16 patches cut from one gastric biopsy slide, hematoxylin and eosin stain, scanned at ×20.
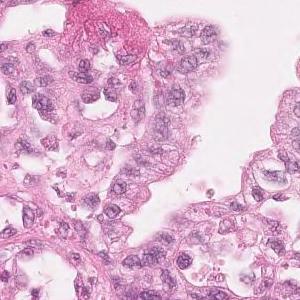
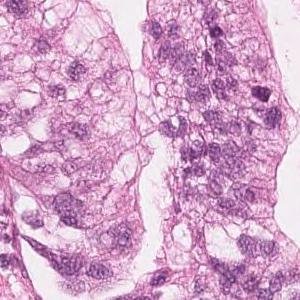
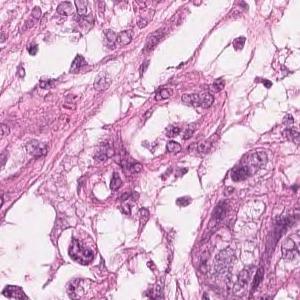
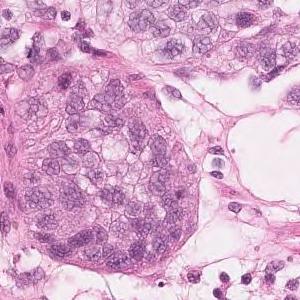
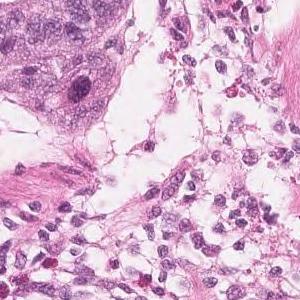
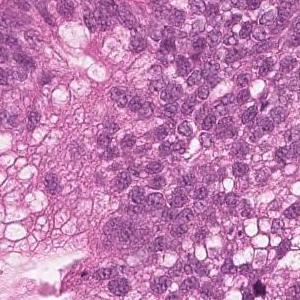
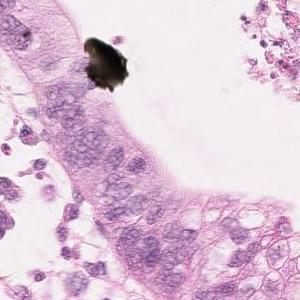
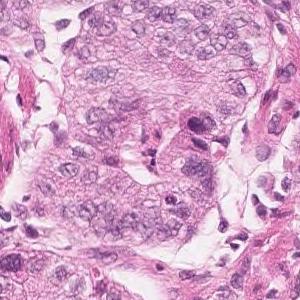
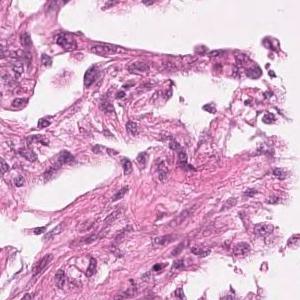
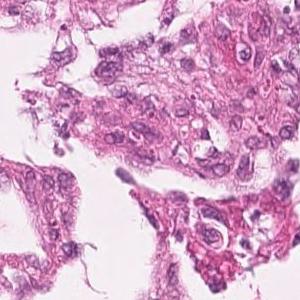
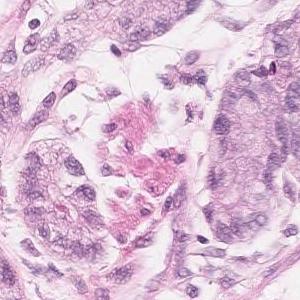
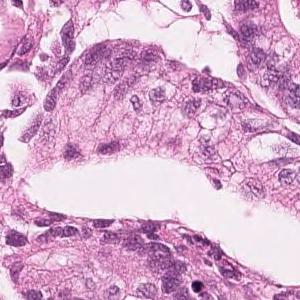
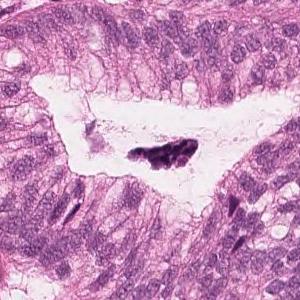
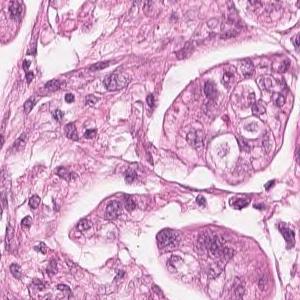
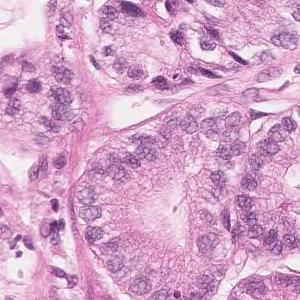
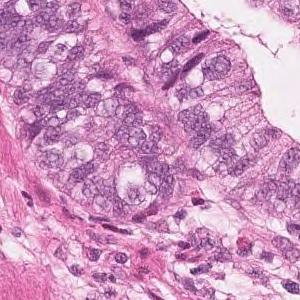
Pathology report for the biopsy slide these tiles were cut from. The findings and the diagnosis refer to the entire slide; these tiles show only part of it, possibly with non-tumor tissue, and may not show every feature named.
Highly columnar epithelium with disordered nuclear localization proliferates showing fusion ductal construction. moderately differentiated tubular adenocarcinoma
